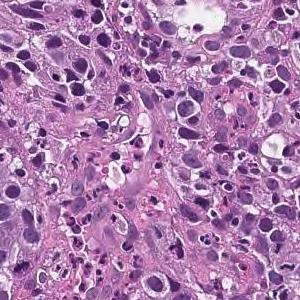
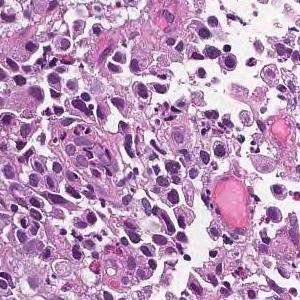
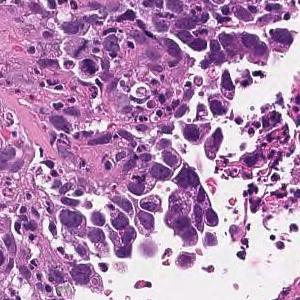
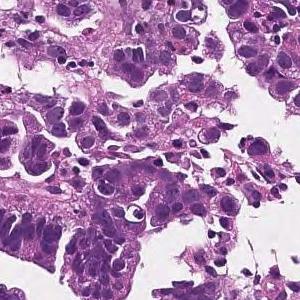
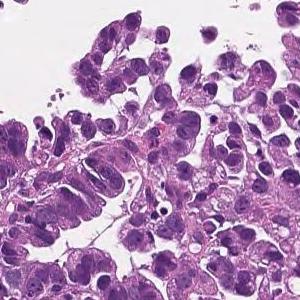
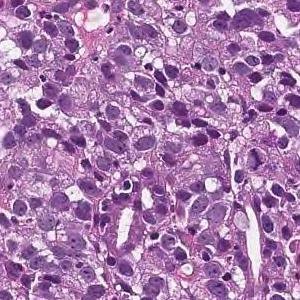
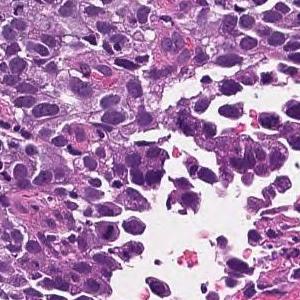
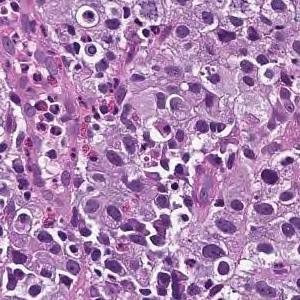
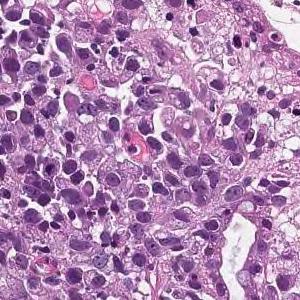
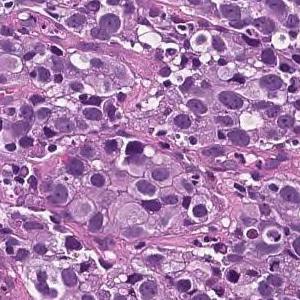
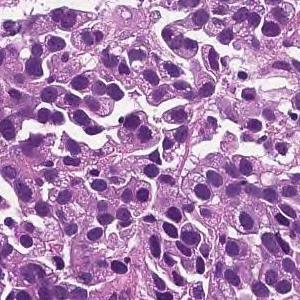
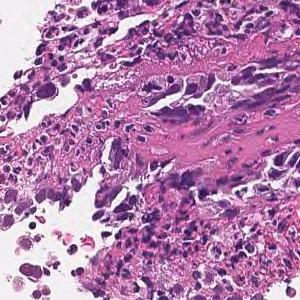
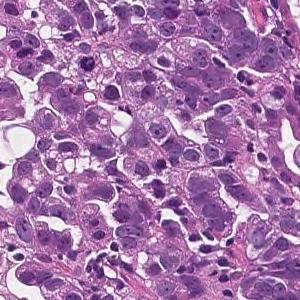
×20 · hematoxylin and eosin stain · 13 tiles from the same stomach biopsy slide.
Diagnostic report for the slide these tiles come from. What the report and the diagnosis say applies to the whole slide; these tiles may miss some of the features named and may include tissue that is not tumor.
The superficial epithelium shows a large sheet-like shape, and some tumor tissue infiltrates with small irregular ducts. Poorly differentiated adenocarcinoma, solid-type
Subtype: Poorly differentiated adenocarcinoma, solid type. This name comes from the Japanese Classification of Gastric Carcinoma; the WHO 2019 classification calls it tubular adenocarcinoma, poorly differentiated.
